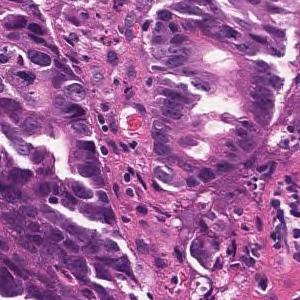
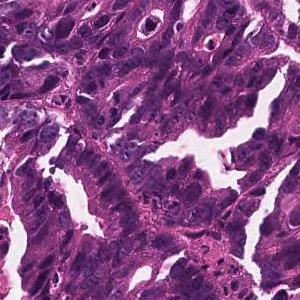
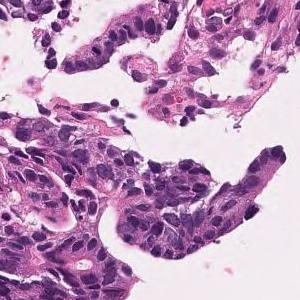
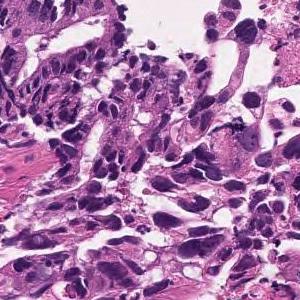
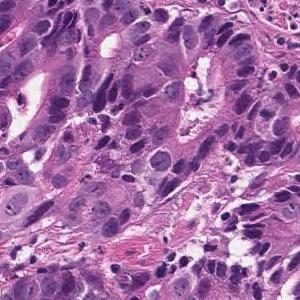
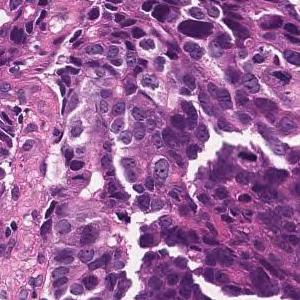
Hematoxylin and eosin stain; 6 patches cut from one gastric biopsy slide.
Pathology report for the slide these tiles were cut from. The report and the diagnosis cover the entire slide, so not every feature they name need be visible here, and some tissue shown may not be tumor.
In the superficial epithelium, tumor tissue that invades by forming medium-sized to small, irregular ducts is observed. moderately differentiated tubular adenocarcinoma.
